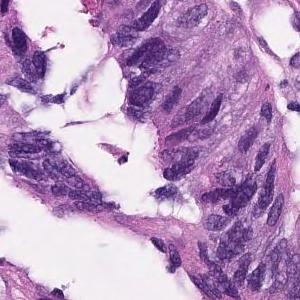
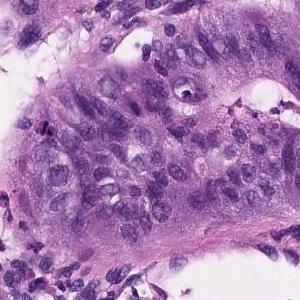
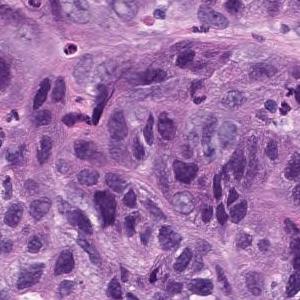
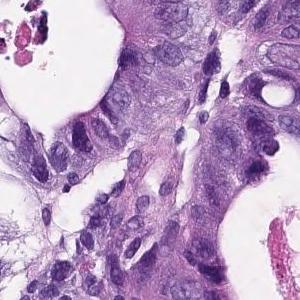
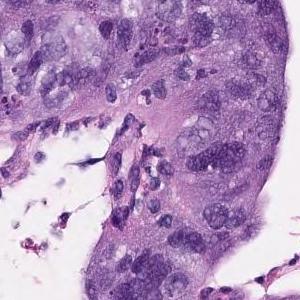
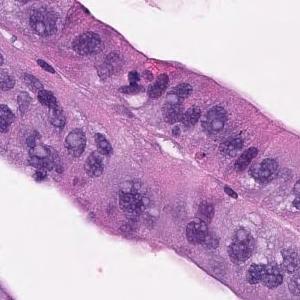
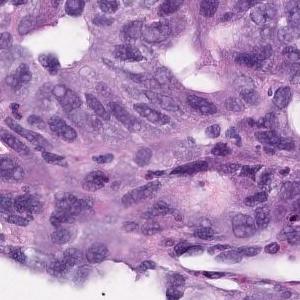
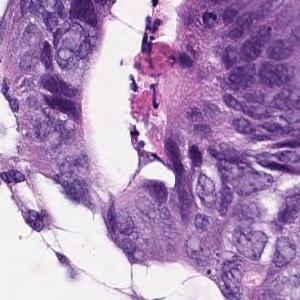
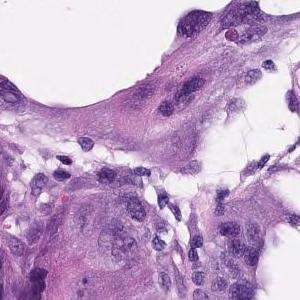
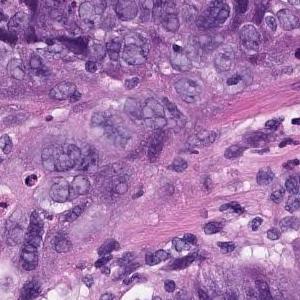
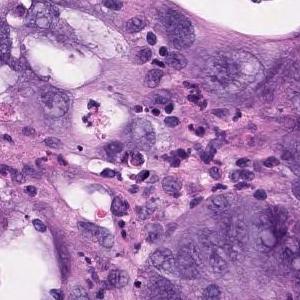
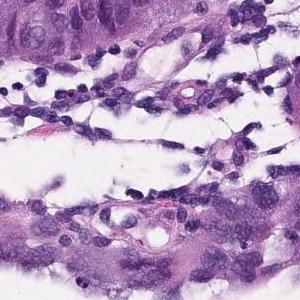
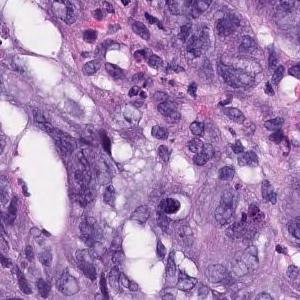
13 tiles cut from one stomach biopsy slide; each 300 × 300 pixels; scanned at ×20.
Report on the slide these tiles come from. What the report and the diagnosis say applies to the whole slide; these tiles may miss some of the features named and may include tissue that is not tumor.
In the superficial epithelium, tumor tissue that invades by forming medium-sized to small, irregular ducts is observed. Moderately differentiated adenocarcinoma.
Tumor subtype: moderately differentiated tubular adenocarcinoma.
